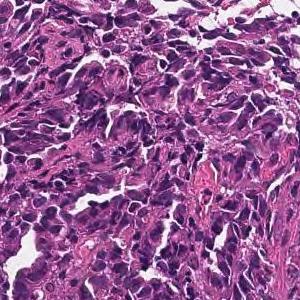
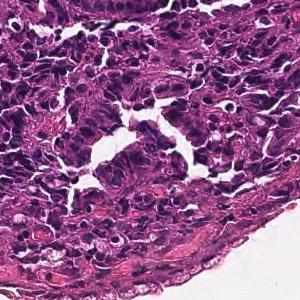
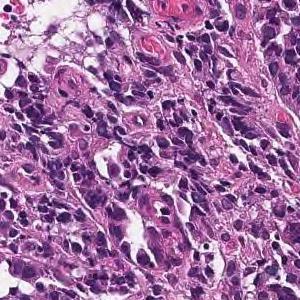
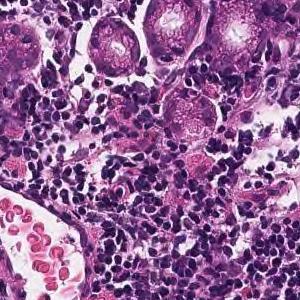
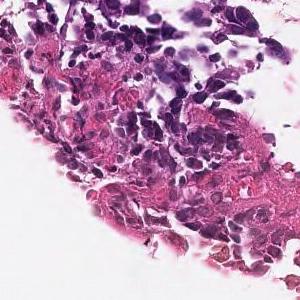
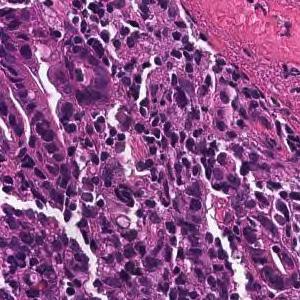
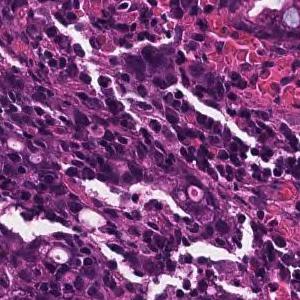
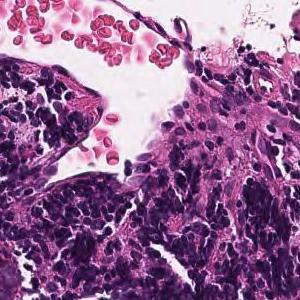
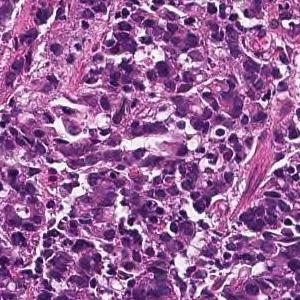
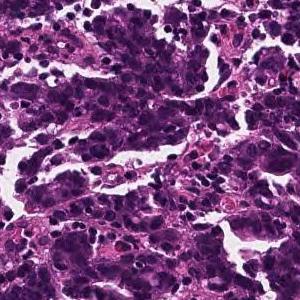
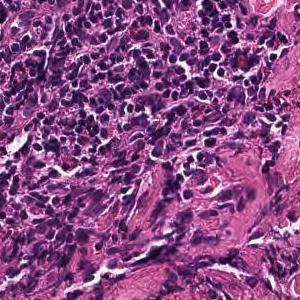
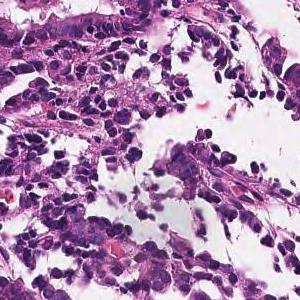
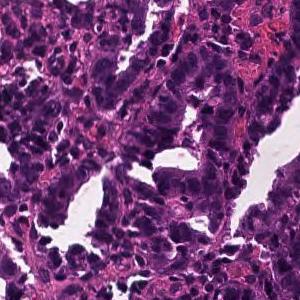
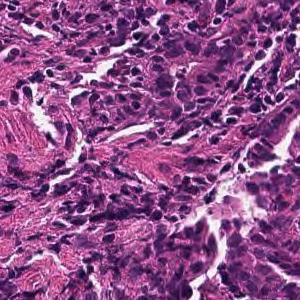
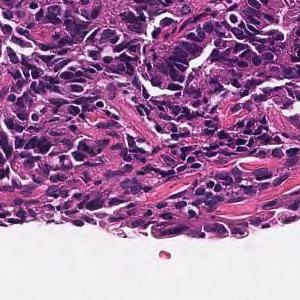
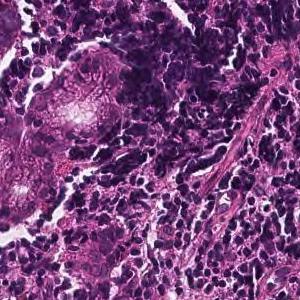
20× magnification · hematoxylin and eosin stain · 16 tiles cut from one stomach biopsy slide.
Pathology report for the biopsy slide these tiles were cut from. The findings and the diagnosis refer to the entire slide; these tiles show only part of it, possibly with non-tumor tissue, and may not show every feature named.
In the superficial epithelium, tumor tissue that invades by forming medium-sized to small, irregular ducts is observed. moderately differentiated tubular adenocarcinoma.
